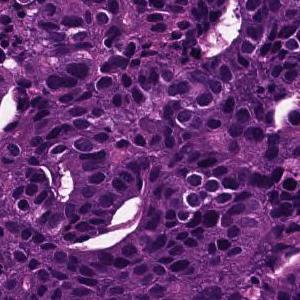
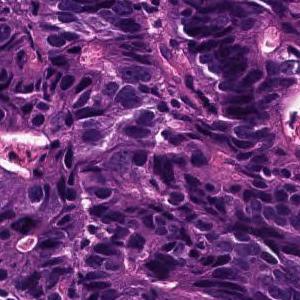
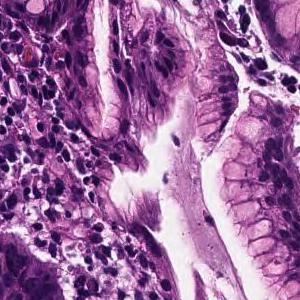
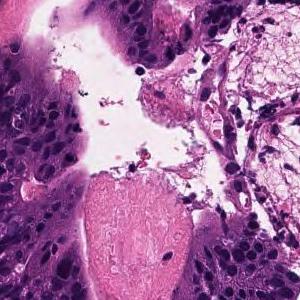
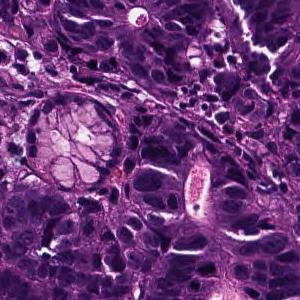
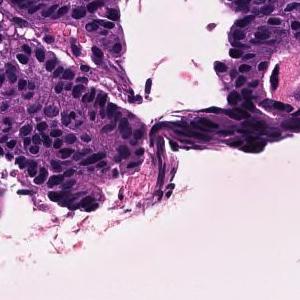
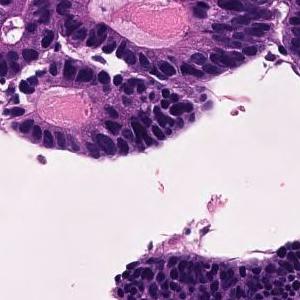
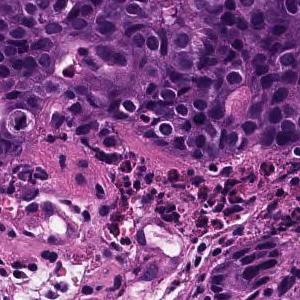
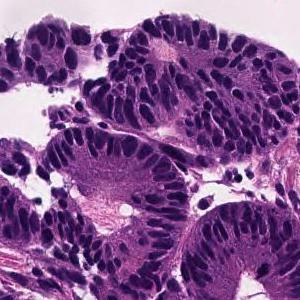
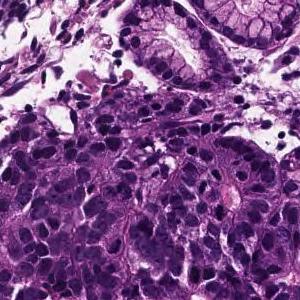
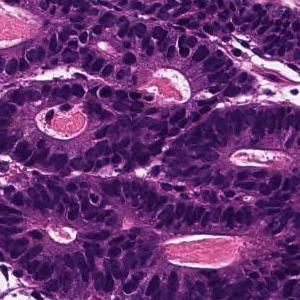
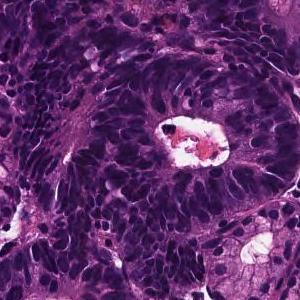
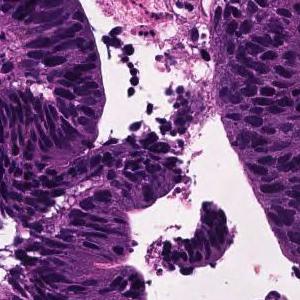
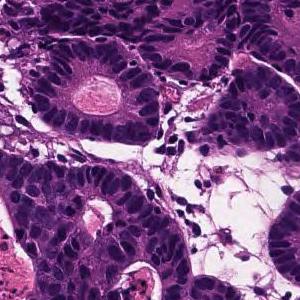
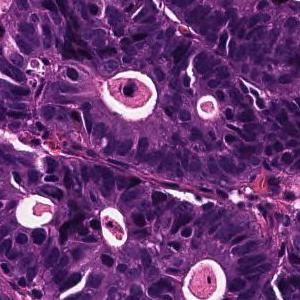
15 tiles cut from one stomach biopsy slide · 20× magnification · H&E stain.
Pathology report for the biopsy slide these tiles were cut from. Both the report and the diagnosis are for the whole slide: these tiles need not show every feature named, and some of the tissue shown may not be tumor.
In the superficial epithelium, tumor tissue that invades by forming medium-sized to small, irregular ducts is observed. moderately differentiated tubular adenocarcinoma.
